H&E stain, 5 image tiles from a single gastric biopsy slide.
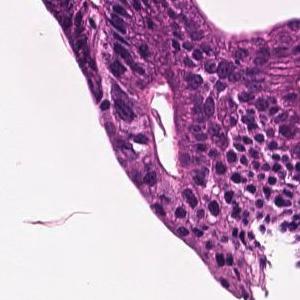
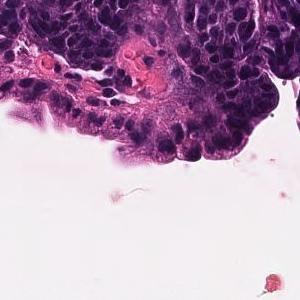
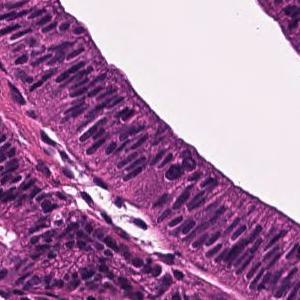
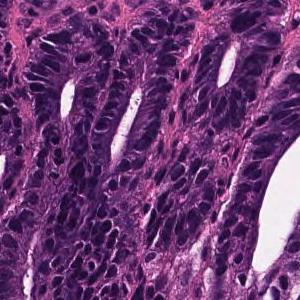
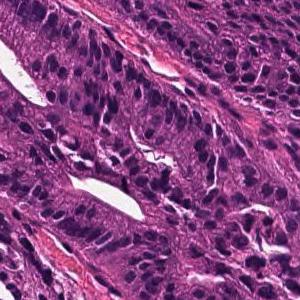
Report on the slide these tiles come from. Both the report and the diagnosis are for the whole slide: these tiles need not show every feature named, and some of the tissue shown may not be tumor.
Tumor tissue that remains within the superficial epithelium and is infiltrated by large papillary or irregular ducts that fuse with each other is observed. Well differentiated tubular adenocarcinoma
